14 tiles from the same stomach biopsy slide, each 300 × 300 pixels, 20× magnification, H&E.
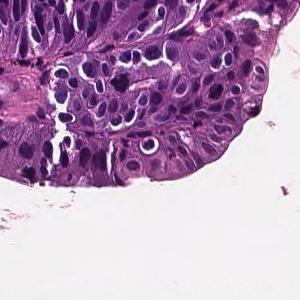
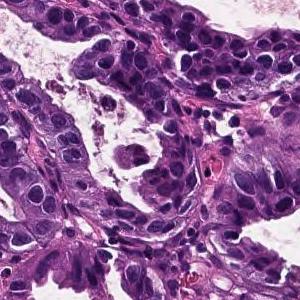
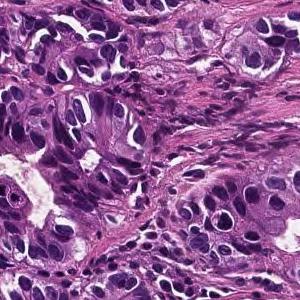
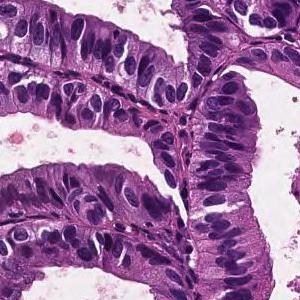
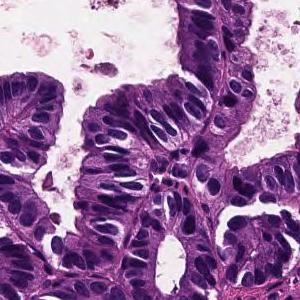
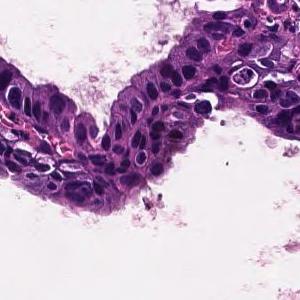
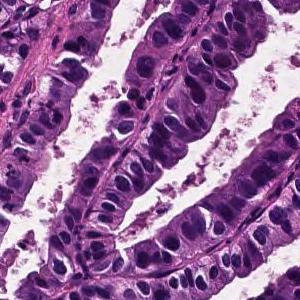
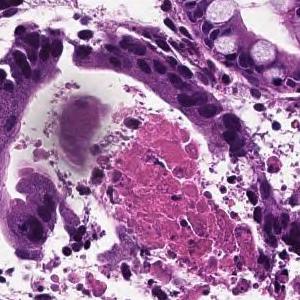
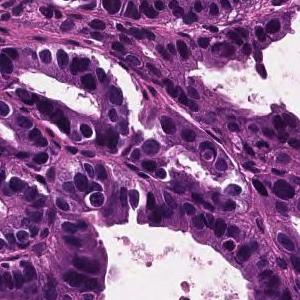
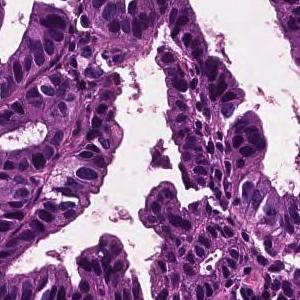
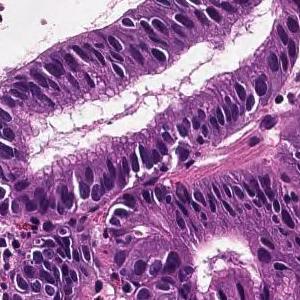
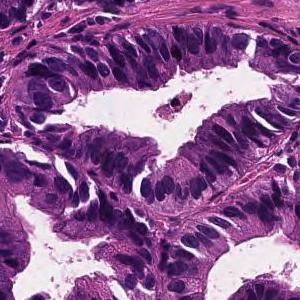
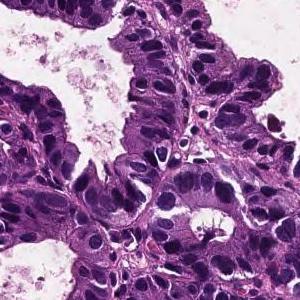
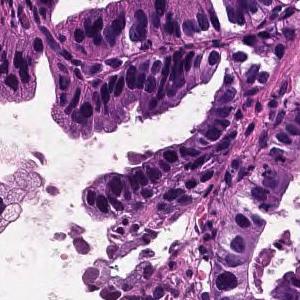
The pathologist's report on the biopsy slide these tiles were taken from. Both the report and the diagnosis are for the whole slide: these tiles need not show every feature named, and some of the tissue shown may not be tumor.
From the superficial epithelium to the muscularis mucosae, tumor tissue consisting of medium-sized and irregular glandular ducts infiltrating is observed. Well differentiated tubular adenocarcinoma
